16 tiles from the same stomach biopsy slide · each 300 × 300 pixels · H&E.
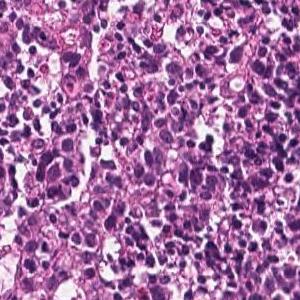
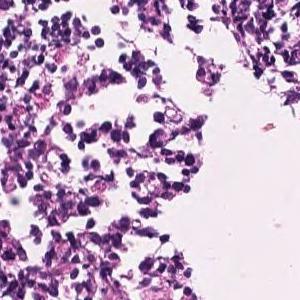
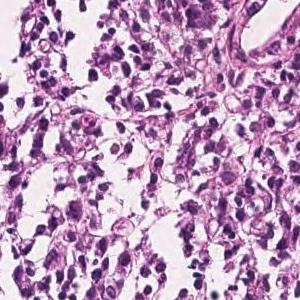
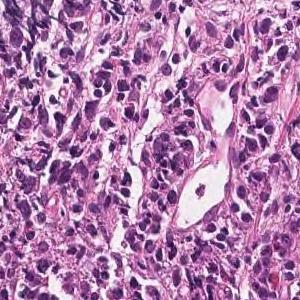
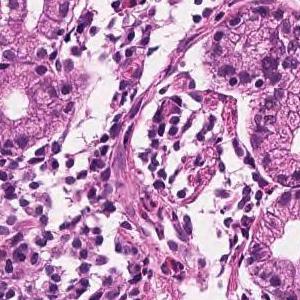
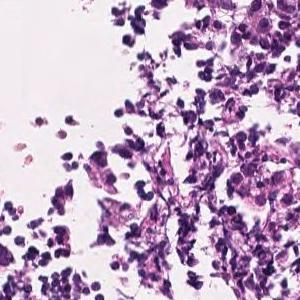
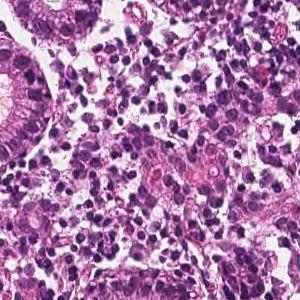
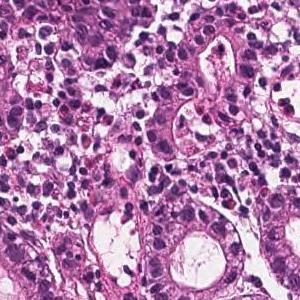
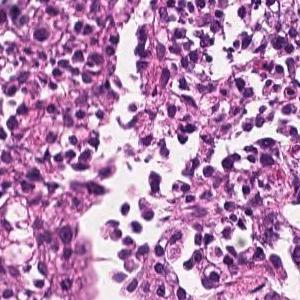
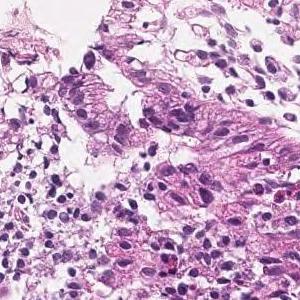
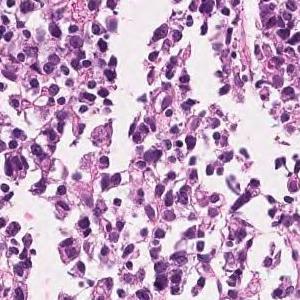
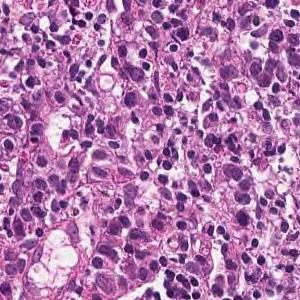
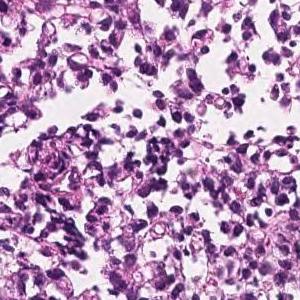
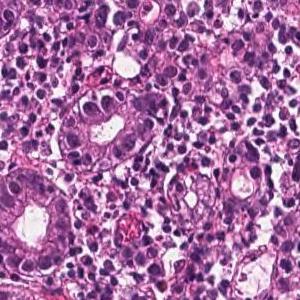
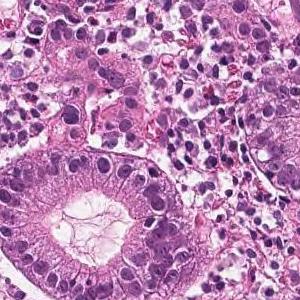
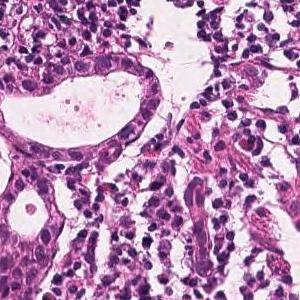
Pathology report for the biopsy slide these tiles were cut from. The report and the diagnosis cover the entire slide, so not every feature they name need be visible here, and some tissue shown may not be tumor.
Tumor tissue consisting of cord-like or small, irregular glandular ducts fused and infiltrated is observed in the superficial epithelium. Poorly differentiated adenocarcinoma, non-solid type
"Non-solid type" is a category of the Japanese Classification of Gastric Carcinoma.
